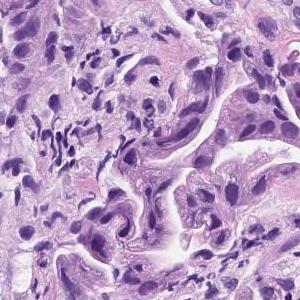
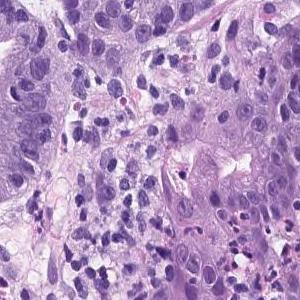
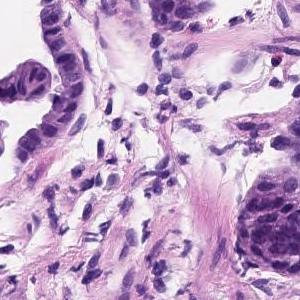
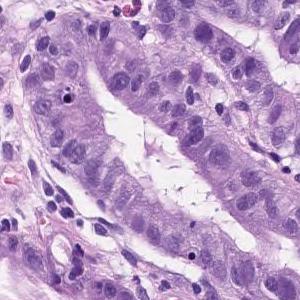
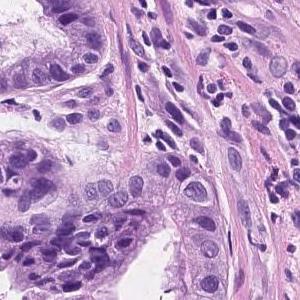
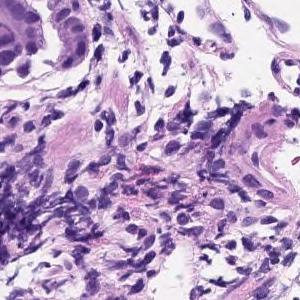
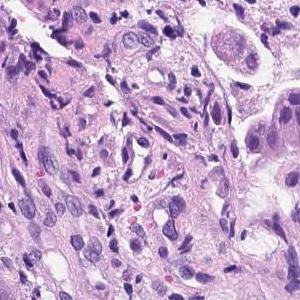
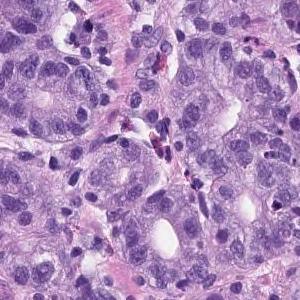
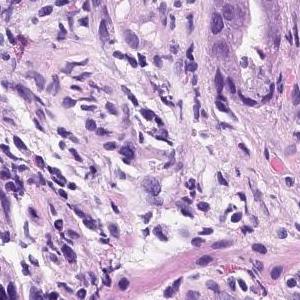
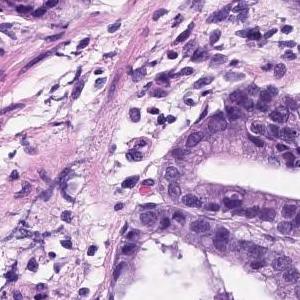
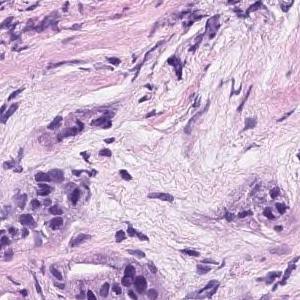
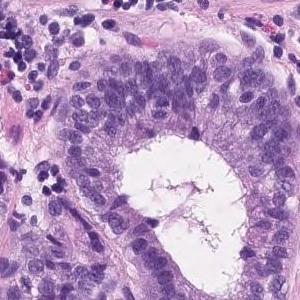
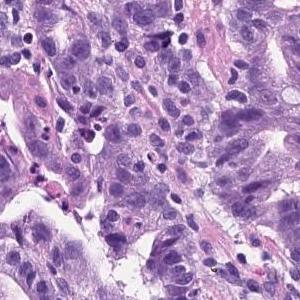
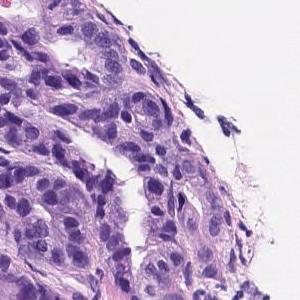
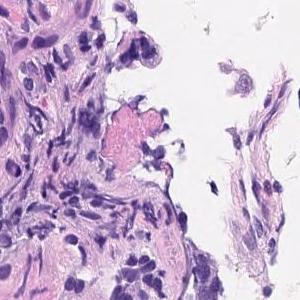
H&E stain, 20× magnification, 15 patches cut from one gastric biopsy slide, 300 × 300 pixels each.
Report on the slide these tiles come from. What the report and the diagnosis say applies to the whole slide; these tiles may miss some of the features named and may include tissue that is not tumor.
Tumor tissue consisting of medium-sized and irregular ducts is observed infiltrating in the superficial epithelium. Tumor cells are highly columnar, with nuclei aligned basolaterally and polarized. Well differentiated tubular adenocarcinoma.
